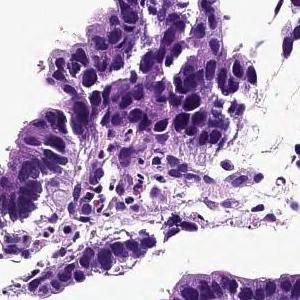
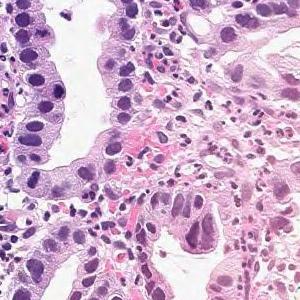
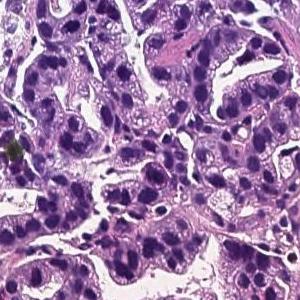
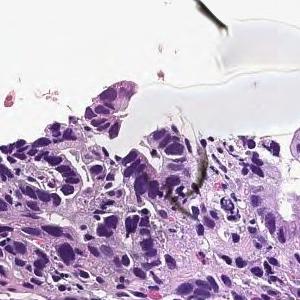
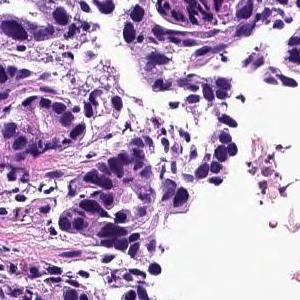
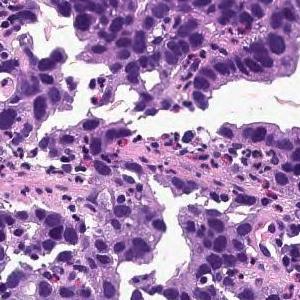
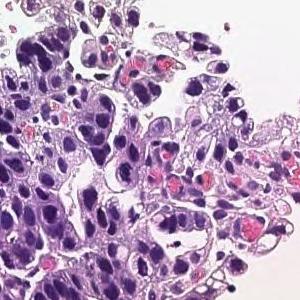
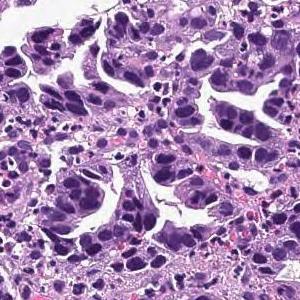
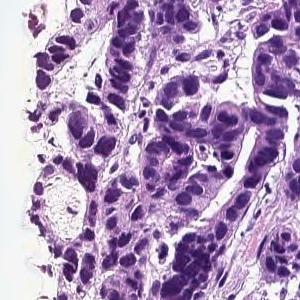
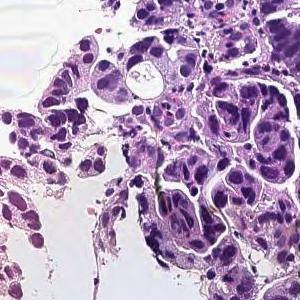
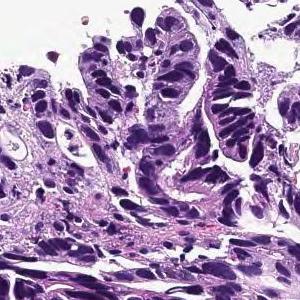
11 image tiles from a single gastric biopsy slide, hematoxylin and eosin stain.
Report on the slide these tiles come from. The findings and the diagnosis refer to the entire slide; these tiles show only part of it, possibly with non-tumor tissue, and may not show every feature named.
On the superficial epithelium, tumor tissue consisting of large irregular glandular ducts partially fused and infiltrated is observed. Well to moderately differentiated tubular adenocarcinoma (well differentiated tubular adenocarcinoma, moderately differentiated tubular adenocarcinoma)
Tumor subtype: well to moderately differentiated tubular adenocarcinoma.
